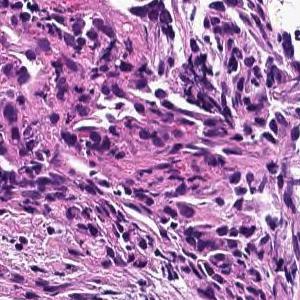
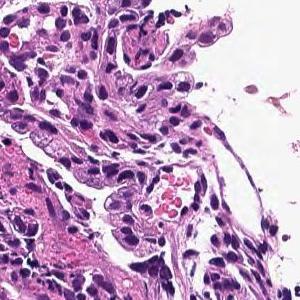
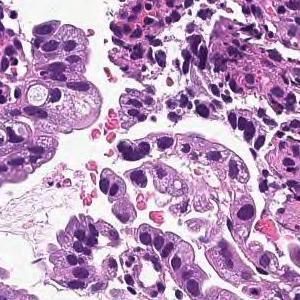
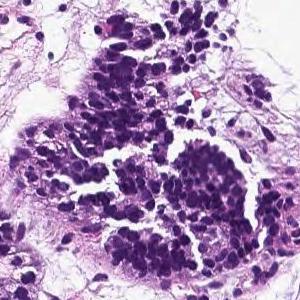
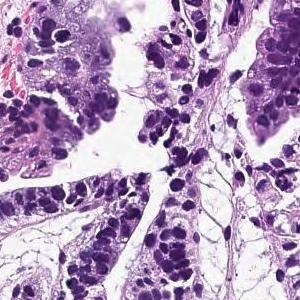
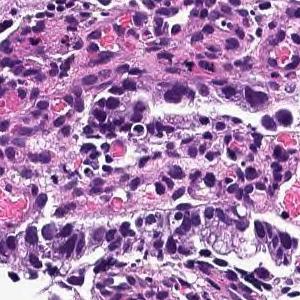
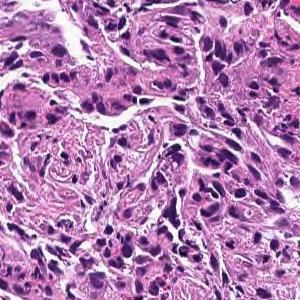
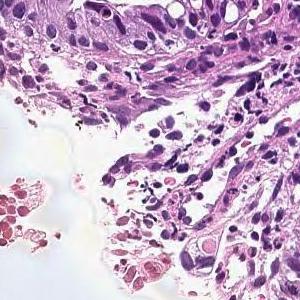
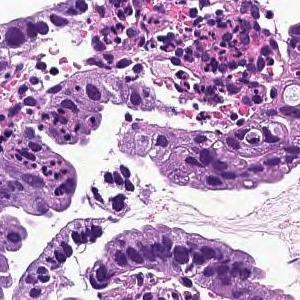
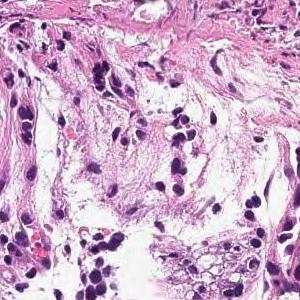
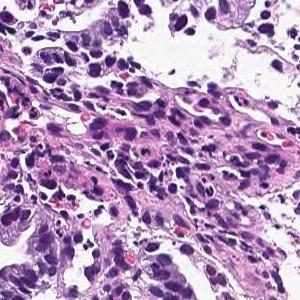
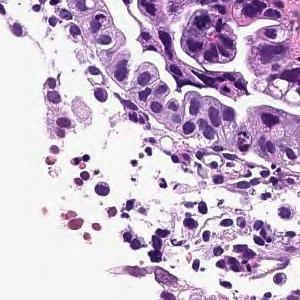
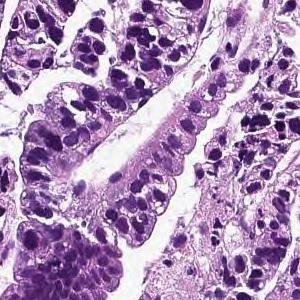
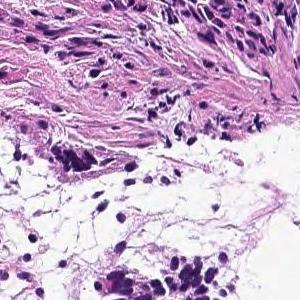
14 image tiles from a single gastric biopsy slide · each 300 × 300 pixels · hematoxylin and eosin stain · ×20.
Report on the slide these tiles come from. The report describes the whole slide, diagnosis included: not every finding it names need appear in these tiles, which may also show non-tumor tissue.
On the superficial epithelium, tumor tissue that infiltrates by forming medium-sized papillary or small irregular ducts is observed. Papillary adenocarcinoma
